5 image tiles from a single gastric biopsy slide, H&E stain, scanned at ×20.
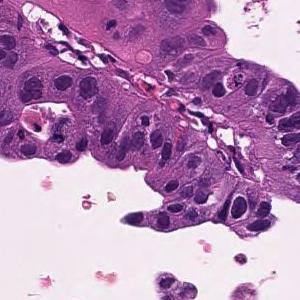
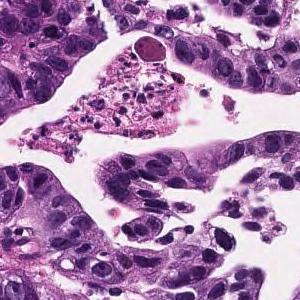
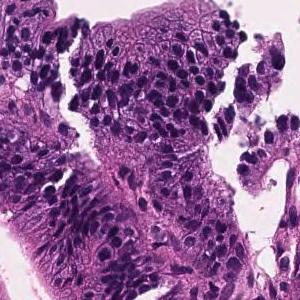
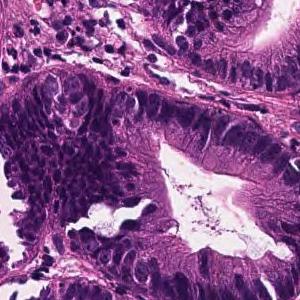
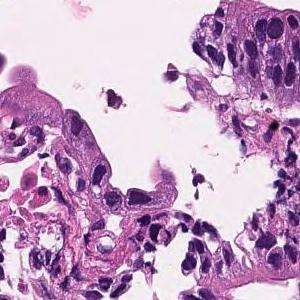
The pathologist's report on the biopsy slide these tiles were taken from. Both the report and the diagnosis are for the whole slide: these tiles need not show every feature named, and some of the tissue shown may not be tumor.
Tumor cells are large, highly columnar, large club-shaped nuclei, and are associated with chromatin aggregation. Papillary adenocarcinoma.
